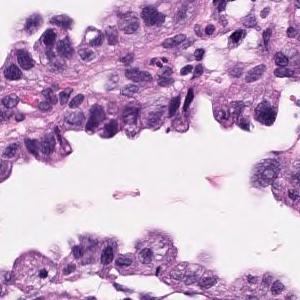
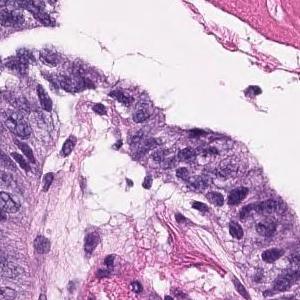
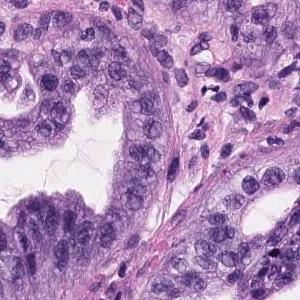
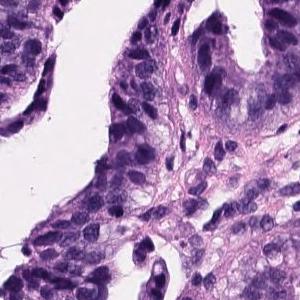
20× magnification; H&E stain; 4 patches cut from one gastric biopsy slide; each 300 × 300 pixels.
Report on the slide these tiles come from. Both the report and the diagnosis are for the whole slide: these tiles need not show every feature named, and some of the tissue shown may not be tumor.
Tumor cells are large, highly columnar, large club-shaped nuclei, and are associated with chromatin aggregation. Papillary adenocarcinoma.
